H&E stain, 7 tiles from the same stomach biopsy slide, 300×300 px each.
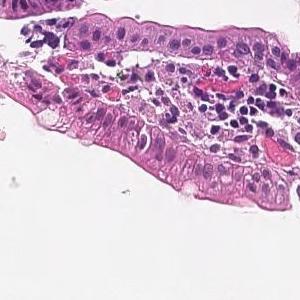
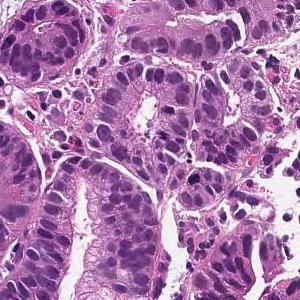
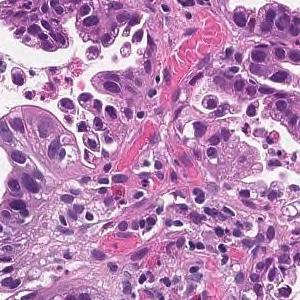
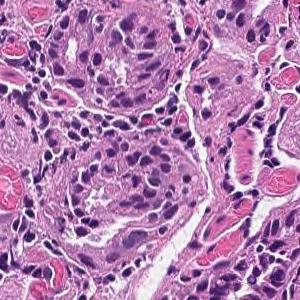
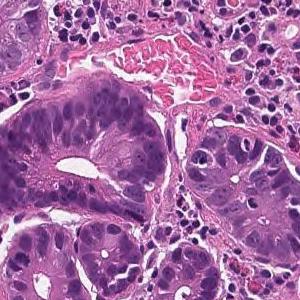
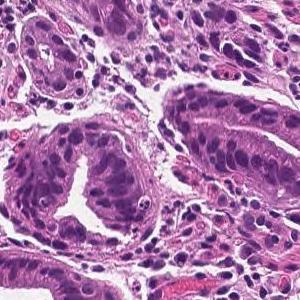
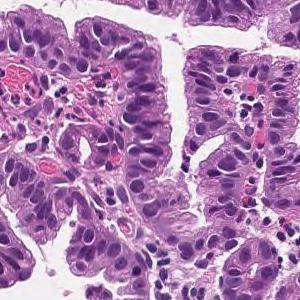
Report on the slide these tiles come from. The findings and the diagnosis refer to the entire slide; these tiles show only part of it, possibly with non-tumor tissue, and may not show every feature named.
On the superficial epithelium, tumor tissue consisting of large irregular glandular ducts partially fused and infiltrated is observed. Well to moderately differentiated tubular adenocarcinoma (well differentiated tubular adenocarcinoma, moderately differentiated tubular adenocarcinoma)
Histologic type: Well to moderately differentiated tubular adenocarcinoma.
